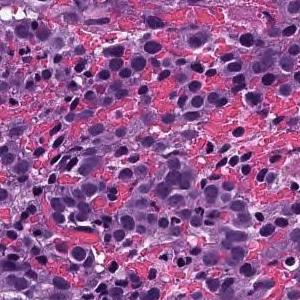
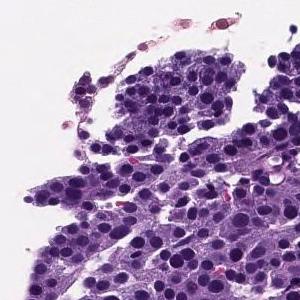
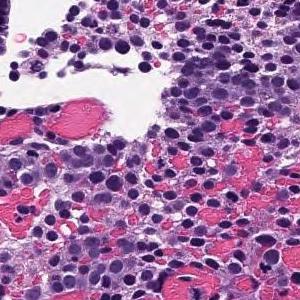
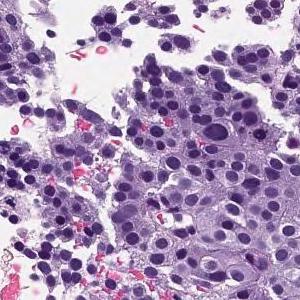
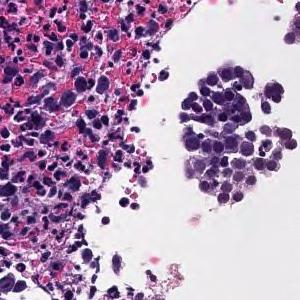
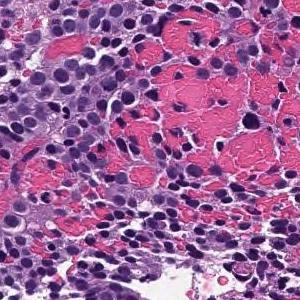
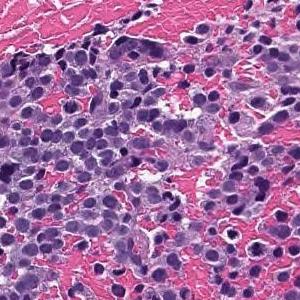
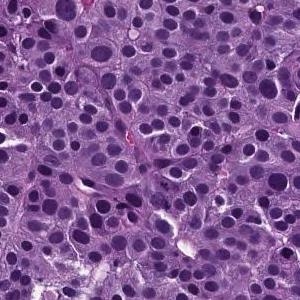
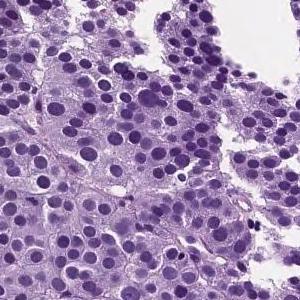
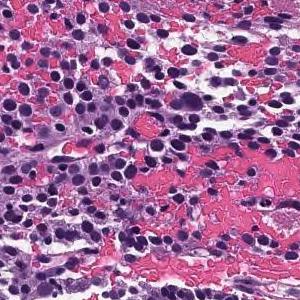
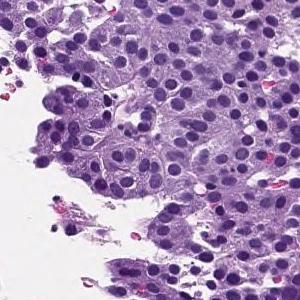
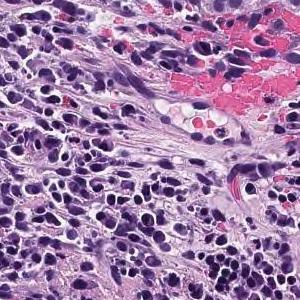
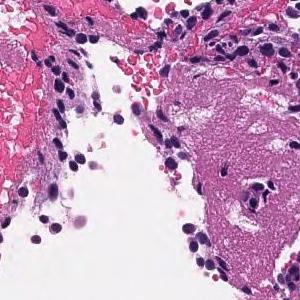
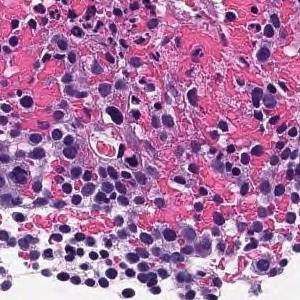
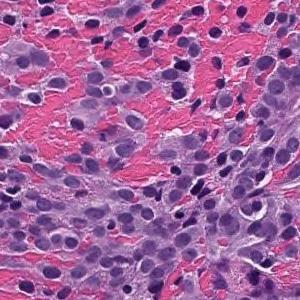
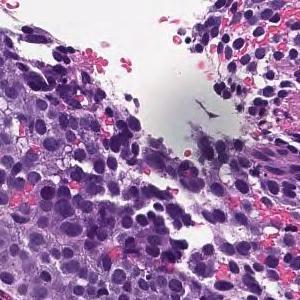
16 image tiles from a single gastric biopsy slide, 300 × 300 pixels each, H&E, scanned at ×20.
Pathology report for the slide these tiles were cut from. The findings and the diagnosis refer to the entire slide; these tiles show only part of it, possibly with non-tumor tissue, and may not show every feature named.
The superficial epithelium shows a large sheet-like shape, and some tumor tissue infiltrates with small irregular ducts. Poorly differentiated adenocarcinoma, solid-type
Classified as poorly differentiated adenocarcinoma, solid type. This name comes from the Japanese Classification of Gastric Carcinoma; the WHO 2019 classification calls it tubular adenocarcinoma, poorly differentiated.
